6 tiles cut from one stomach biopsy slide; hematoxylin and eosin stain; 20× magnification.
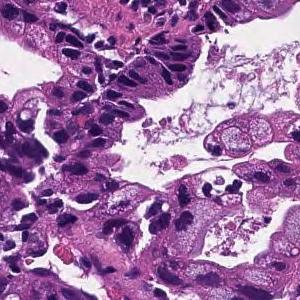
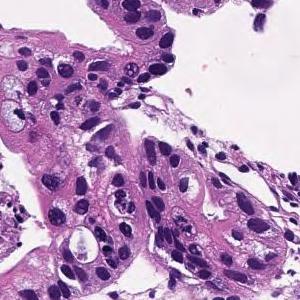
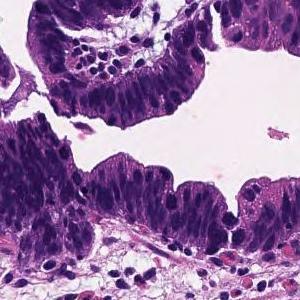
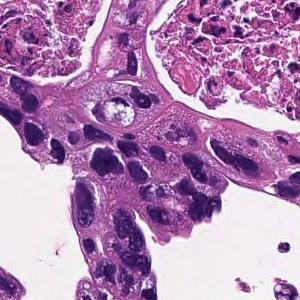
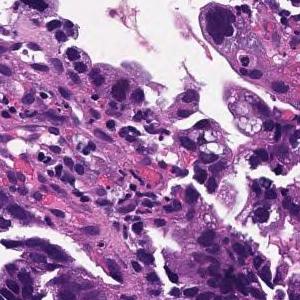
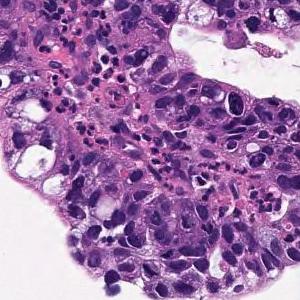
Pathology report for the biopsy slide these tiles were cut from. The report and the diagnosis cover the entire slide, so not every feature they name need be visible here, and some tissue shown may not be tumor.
In the superficial epithelium, tumor tissue that invades by forming medium-sized to small, irregular ducts is observed. moderately differentiated tubular adenocarcinoma.
